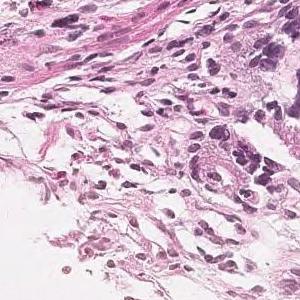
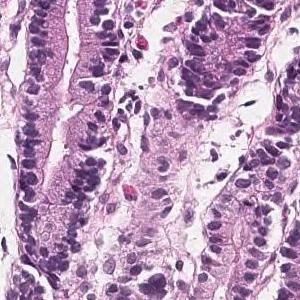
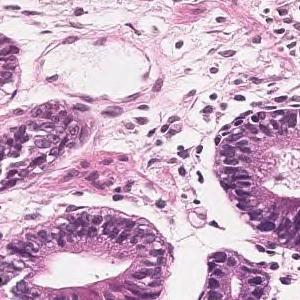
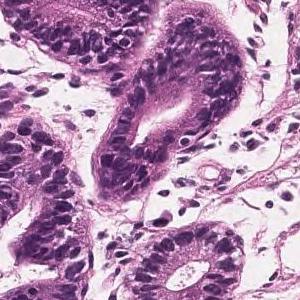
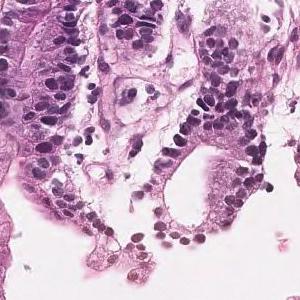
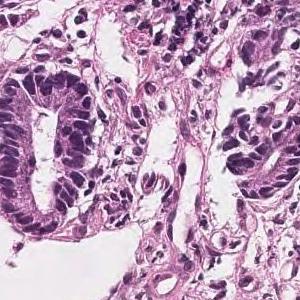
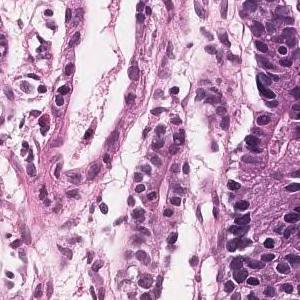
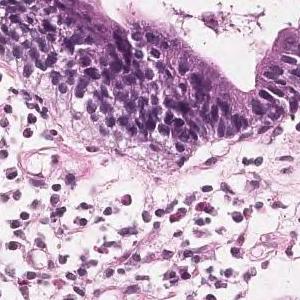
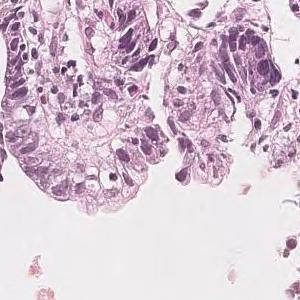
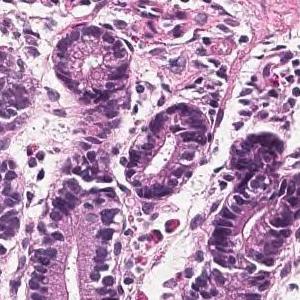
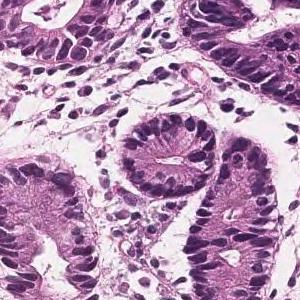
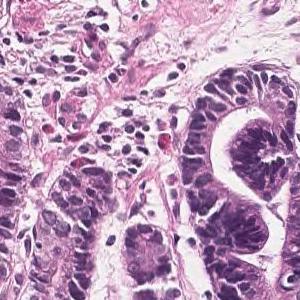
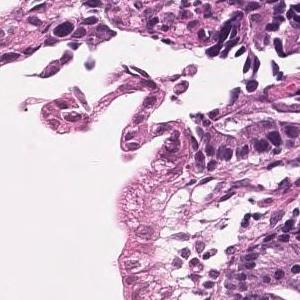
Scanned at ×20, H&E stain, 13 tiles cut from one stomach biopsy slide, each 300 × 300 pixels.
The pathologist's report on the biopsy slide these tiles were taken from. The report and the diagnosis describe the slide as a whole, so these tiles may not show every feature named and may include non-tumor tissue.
Most of the tumor remains in the epithelium and shows a medium-sized circular system or irregular ducts, showing proliferating and developing tumor tissue. Well differentiated tubular adenocarcinoma
